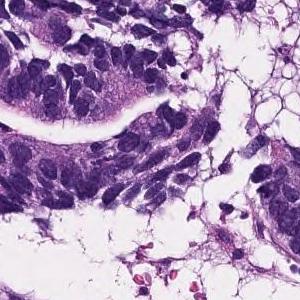
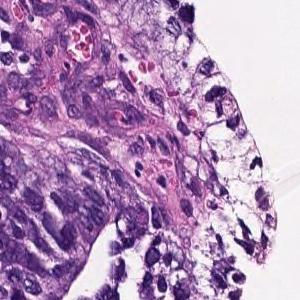
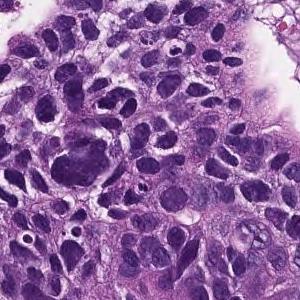
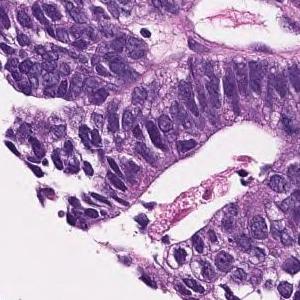
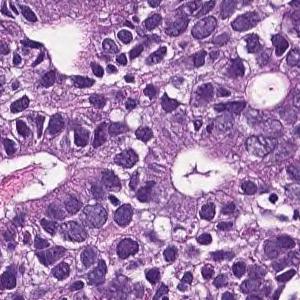
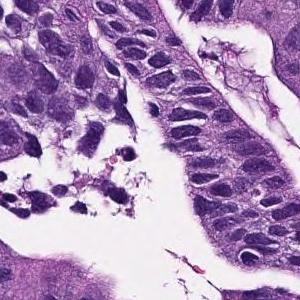
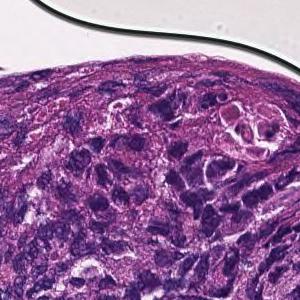
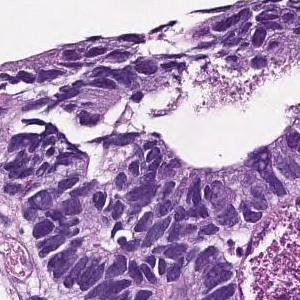
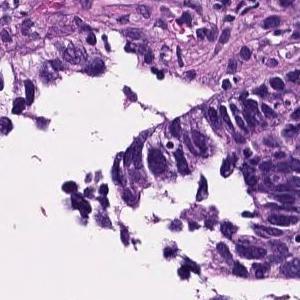
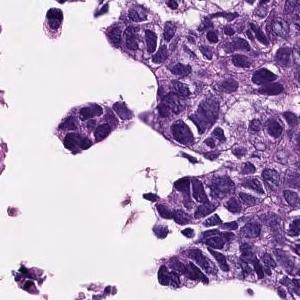
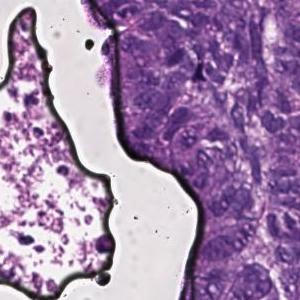
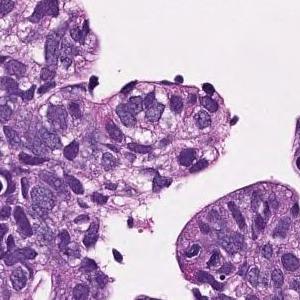
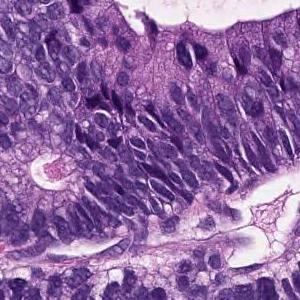
Hematoxylin and eosin stain, 20× magnification, 13 tiles cut from one stomach biopsy slide.
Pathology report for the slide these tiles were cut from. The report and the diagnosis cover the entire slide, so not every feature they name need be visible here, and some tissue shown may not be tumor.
In the superficial epithelium, tumor tissue that invades by forming medium-sized to small, irregular ducts is observed. moderately differentiated tubular adenocarcinoma.
